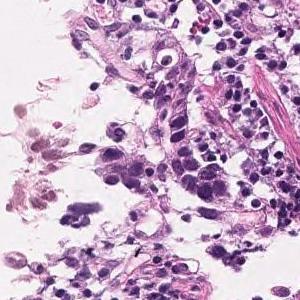
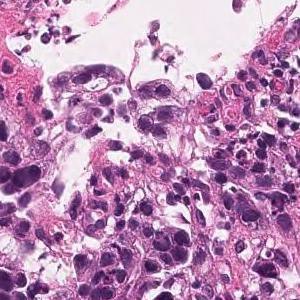
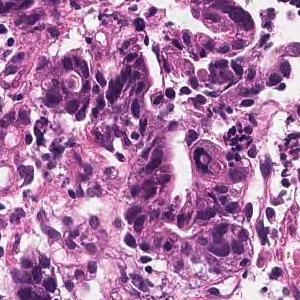
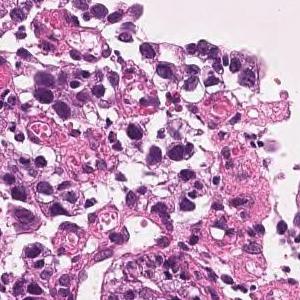
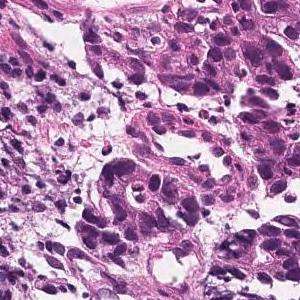
Hematoxylin and eosin stain; ×20; 5 image tiles from a single gastric biopsy slide.
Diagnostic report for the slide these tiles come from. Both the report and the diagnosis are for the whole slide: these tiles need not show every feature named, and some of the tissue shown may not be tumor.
In the superficial epithelium, tumor tissue that invades by forming medium-sized to small, irregular ducts is observed. Moderately differentiated adenocarcinoma.
Histologic type: Moderately differentiated tubular adenocarcinoma.
